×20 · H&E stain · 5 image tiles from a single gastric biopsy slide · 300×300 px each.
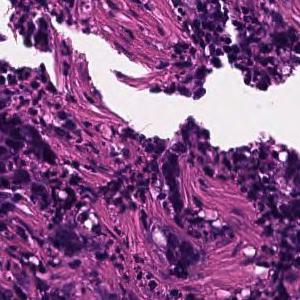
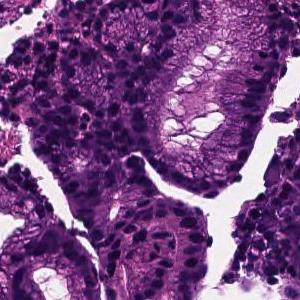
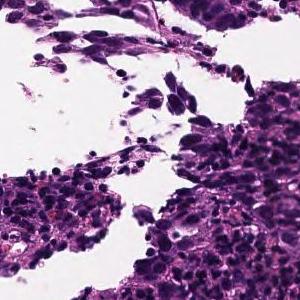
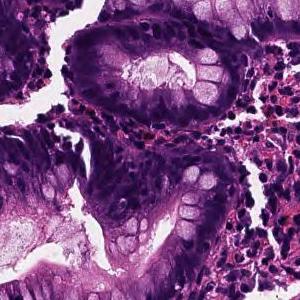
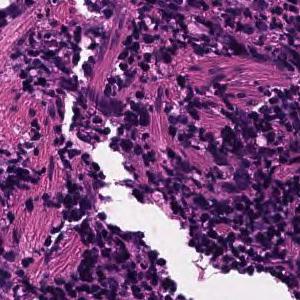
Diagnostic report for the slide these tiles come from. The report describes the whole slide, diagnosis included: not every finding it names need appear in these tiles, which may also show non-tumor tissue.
Tumor tissue consisting of cord-like or small, irregular glandular ducts fused and infiltrated is observed in the superficial epithelium. Poorly differentiated adenocarcinoma, non-solid type
"Non-solid type" is a category of the Japanese Classification of Gastric Carcinoma.
